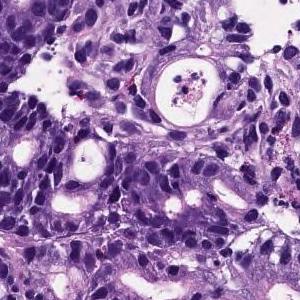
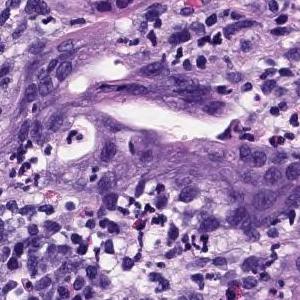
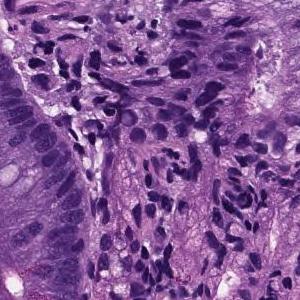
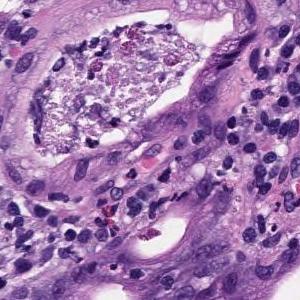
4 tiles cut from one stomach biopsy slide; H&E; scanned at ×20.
Diagnostic report for the slide these tiles come from. The findings and the diagnosis refer to the entire slide; these tiles show only part of it, possibly with non-tumor tissue, and may not show every feature named.
Medium to small, irregular glandular ducts are formed in the superficial epithelium, and in some cases, the glandular ducts are fused to show solid alveolar lesions and infiltrating tumor tissue is observed. Moderately to poorly differentiated adenocarcinoma.
